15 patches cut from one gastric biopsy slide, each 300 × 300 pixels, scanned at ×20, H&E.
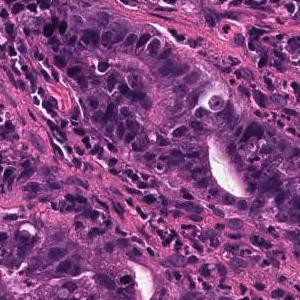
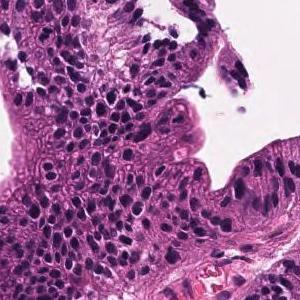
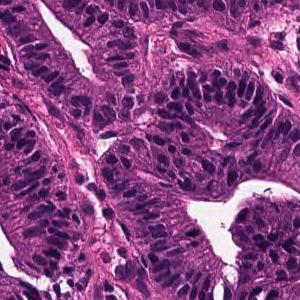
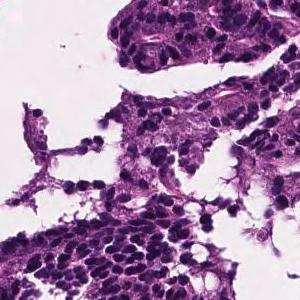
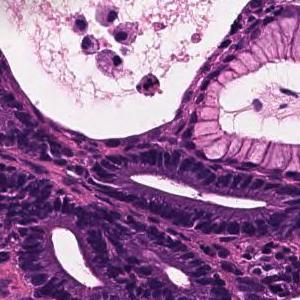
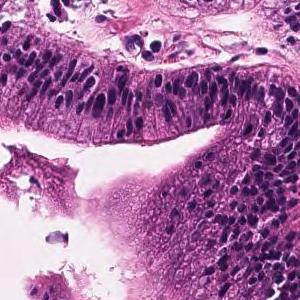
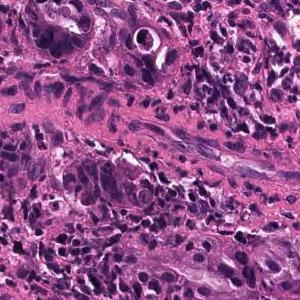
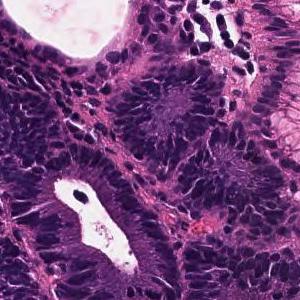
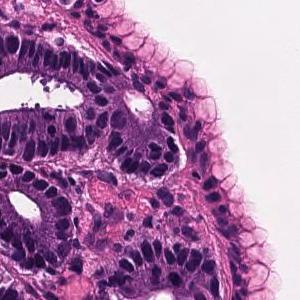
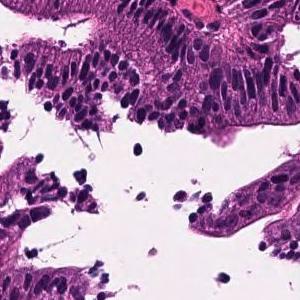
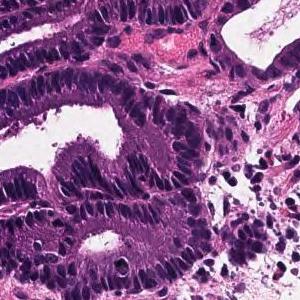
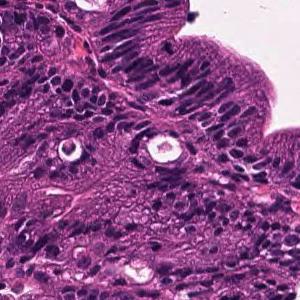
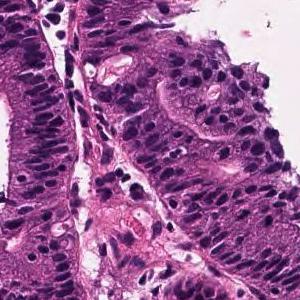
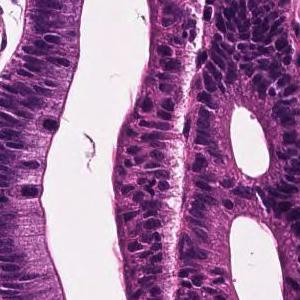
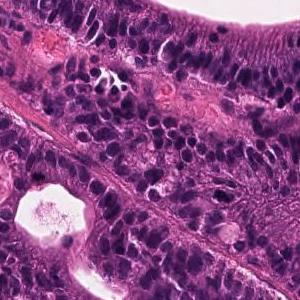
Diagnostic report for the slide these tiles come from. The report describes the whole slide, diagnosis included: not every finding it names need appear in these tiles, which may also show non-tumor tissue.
Tumor tissue that remains within the superficial epithelium and is infiltrated by large papillary or irregular ducts that fuse with each other is observed. Well differentiated tubular adenocarcinoma
